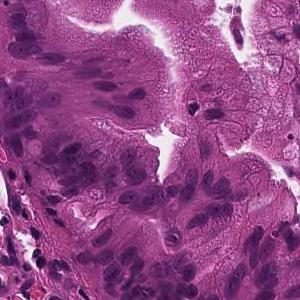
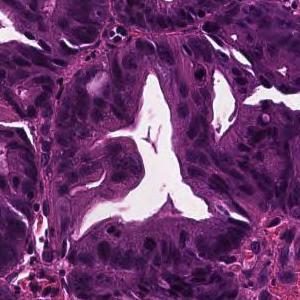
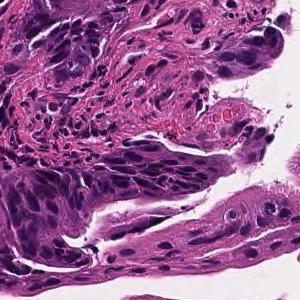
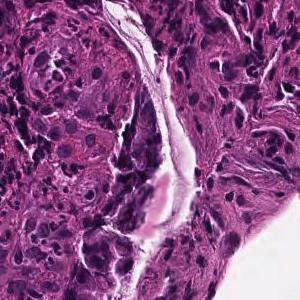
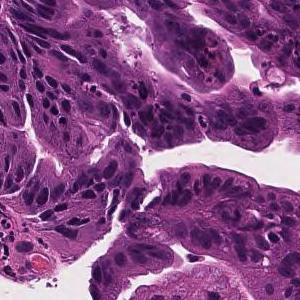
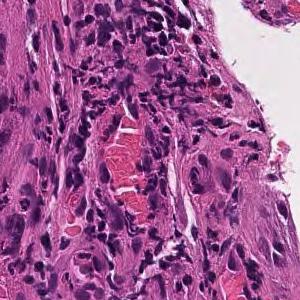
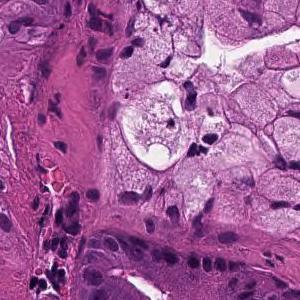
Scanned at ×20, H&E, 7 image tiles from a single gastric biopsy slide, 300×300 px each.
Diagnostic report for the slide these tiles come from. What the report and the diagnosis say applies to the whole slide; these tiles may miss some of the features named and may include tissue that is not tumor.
Tumor cells are large, highly columnar, large club-shaped nuclei, and are associated with chromatin aggregation. Papillary adenocarcinoma.
